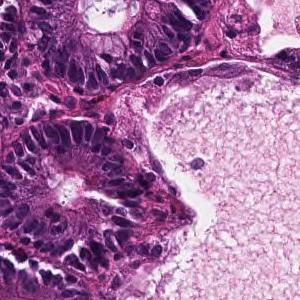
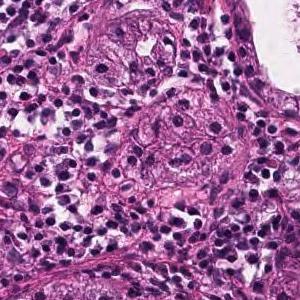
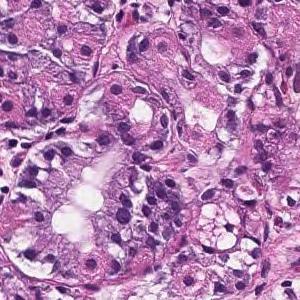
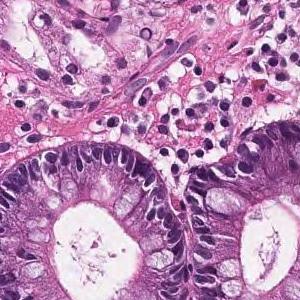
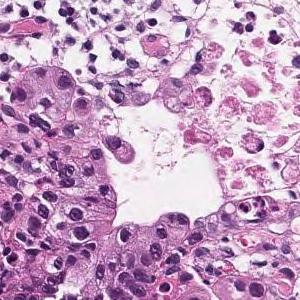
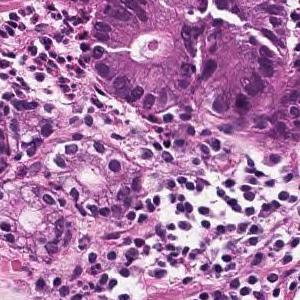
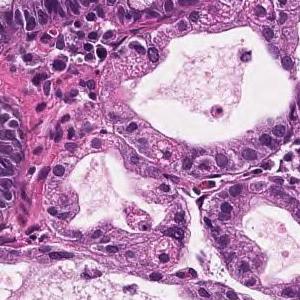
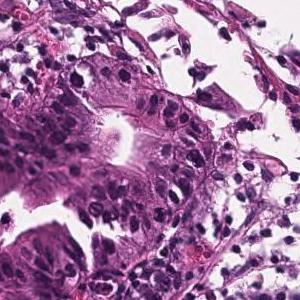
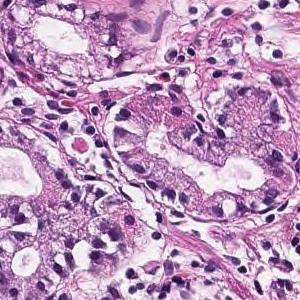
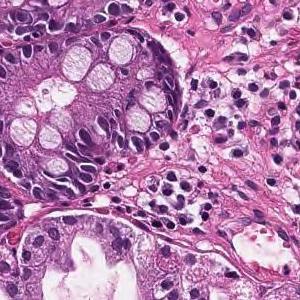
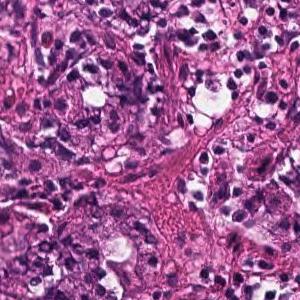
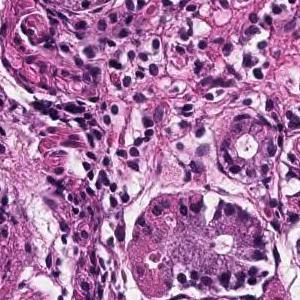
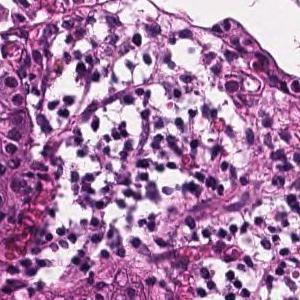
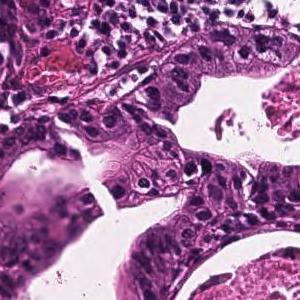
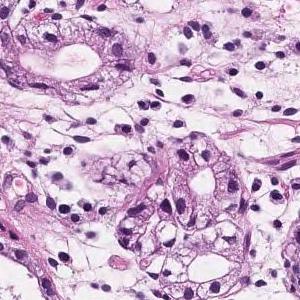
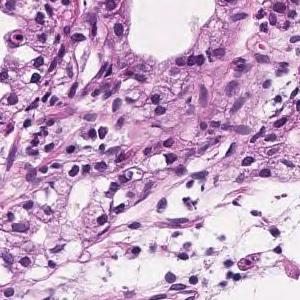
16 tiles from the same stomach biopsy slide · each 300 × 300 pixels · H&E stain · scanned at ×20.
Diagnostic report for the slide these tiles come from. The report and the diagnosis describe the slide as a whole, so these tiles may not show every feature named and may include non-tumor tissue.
Tumor tissue in which medium to small irregular ducts infiltrate and proliferate in the submucosa can be seen in the epithelium. Well differentiated tubular adenocarcinoma
